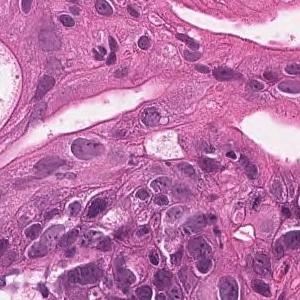
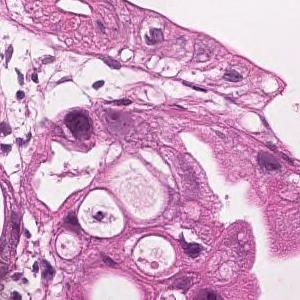
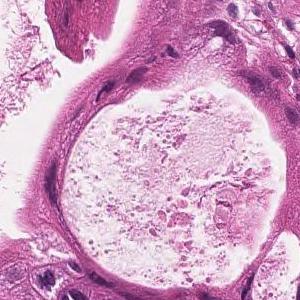
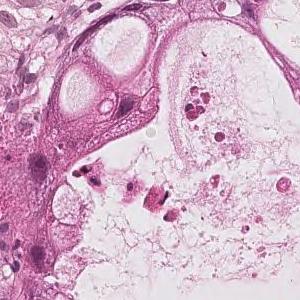
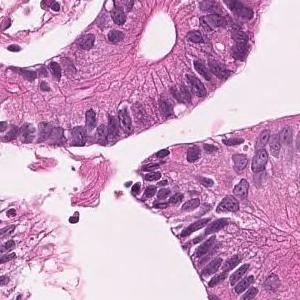
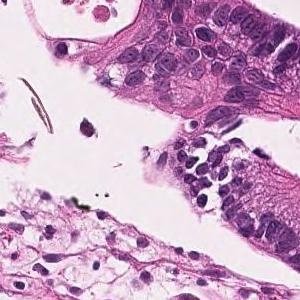
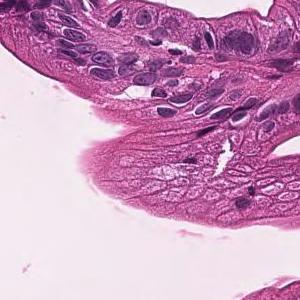
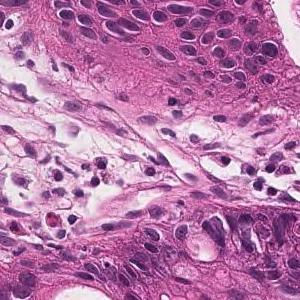
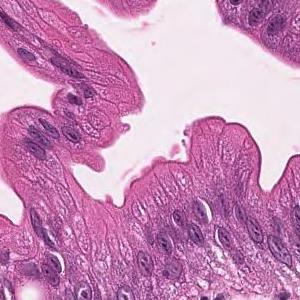
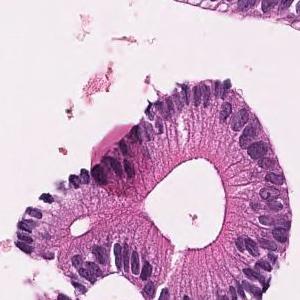
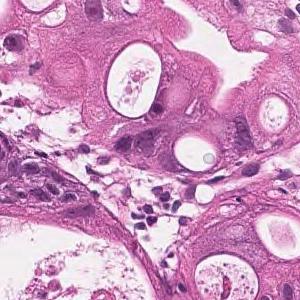
20× magnification, H&E, 11 tiles cut from one stomach biopsy slide.
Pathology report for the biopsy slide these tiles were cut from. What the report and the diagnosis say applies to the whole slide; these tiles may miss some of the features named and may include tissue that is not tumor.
On the superficial epithelium, tumor tissue that infiltrates by forming medium-sized papillary or small irregular ducts is observed. Papillary adenocarcinoma
